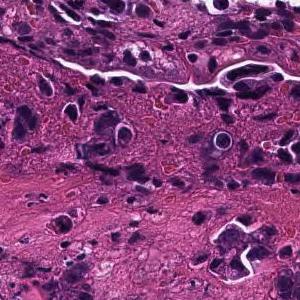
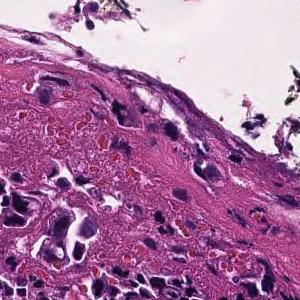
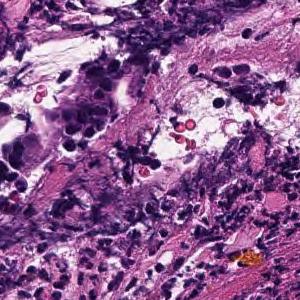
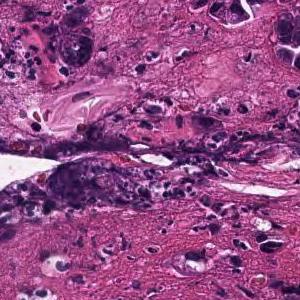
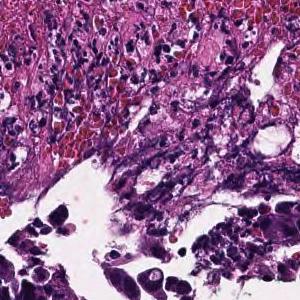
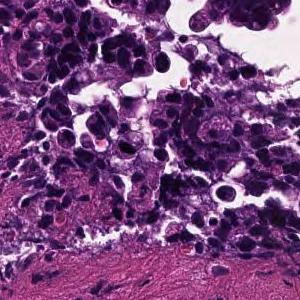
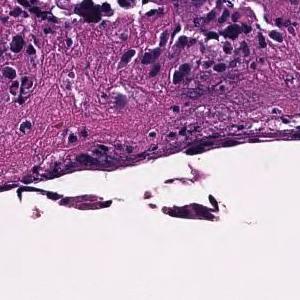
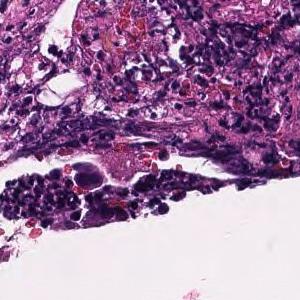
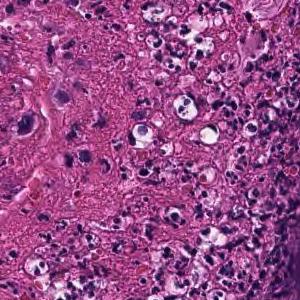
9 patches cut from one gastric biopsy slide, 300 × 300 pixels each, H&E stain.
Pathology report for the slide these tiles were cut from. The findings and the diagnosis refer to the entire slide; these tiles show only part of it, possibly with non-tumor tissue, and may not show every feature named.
Tumor tissue consisting of cord-like or small, irregular glandular ducts fused and infiltrated is observed in the superficial epithelium. Poorly differentiated adenocarcinoma, non-solid type
The non-solid type named here is a Japanese Classification of Gastric Carcinoma category.
